12 tiles cut from one stomach biopsy slide · H&E.
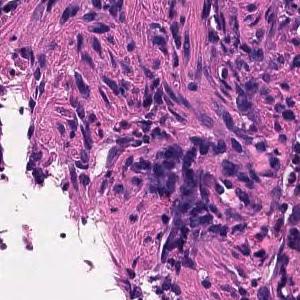
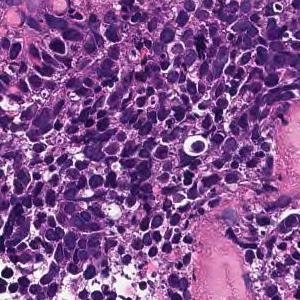
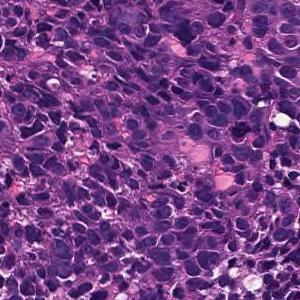
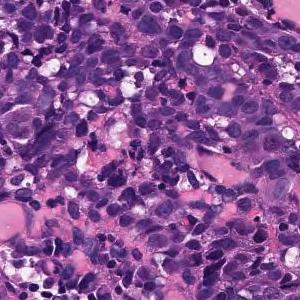
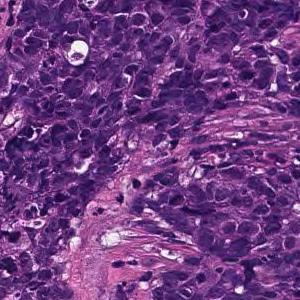
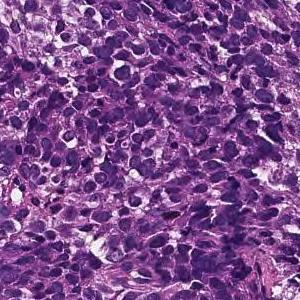
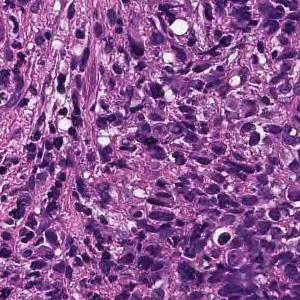
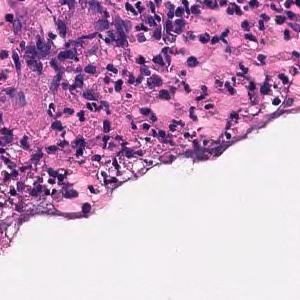
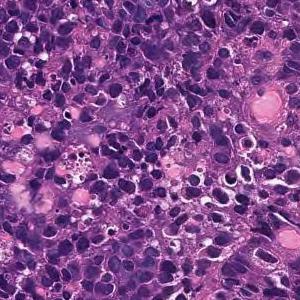
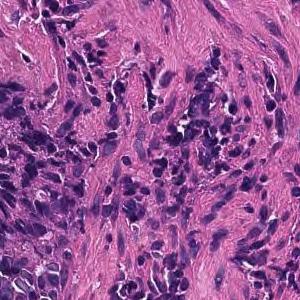
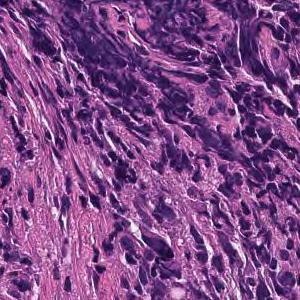
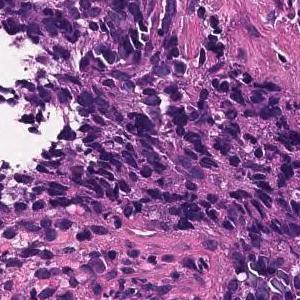
Diagnostic report for the slide these tiles come from. The report describes the whole slide, diagnosis included: not every finding it names need appear in these tiles, which may also show non-tumor tissue.
Large sheet-like or diffusely infiltrating tumor tissue is found in the superficial epithelium. Poorly differentiated adenocarcinoma, solid-type
Histologic type: Poorly differentiated adenocarcinoma, solid type. This name comes from the Japanese Classification of Gastric Carcinoma; the WHO 2019 classification calls it tubular adenocarcinoma, poorly differentiated.
